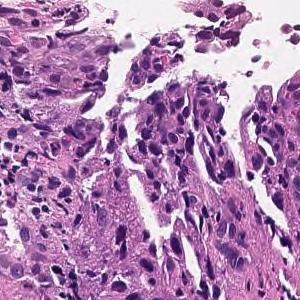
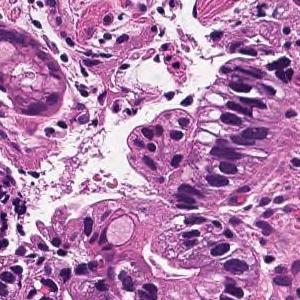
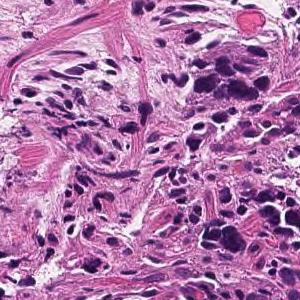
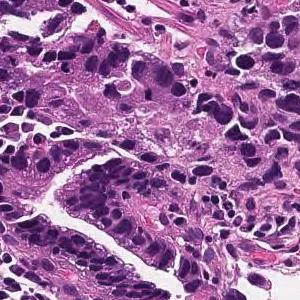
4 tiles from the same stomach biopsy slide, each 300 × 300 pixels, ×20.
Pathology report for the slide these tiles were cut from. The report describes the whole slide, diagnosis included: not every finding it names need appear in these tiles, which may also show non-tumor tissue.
On the superficial epithelium, tumor tissue is found in which medium-sized irregular gland ducts fuse with each other and infiltrate. moderately differentiated tubular adenocarcinoma or Poorly differentiated adenocarcinoma, non-solid type
Classified as moderately to poorly differentiated adenocarcinoma.
The term "non-solid type" comes from the Japanese Classification of Gastric Carcinoma.
